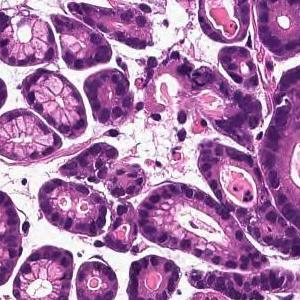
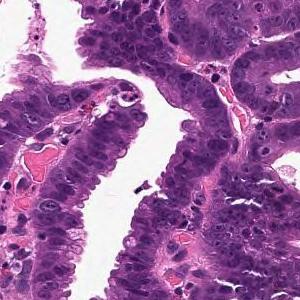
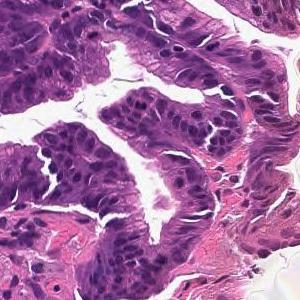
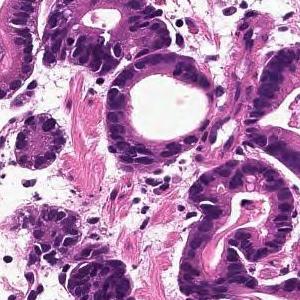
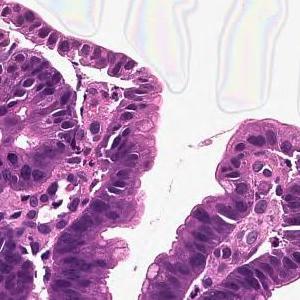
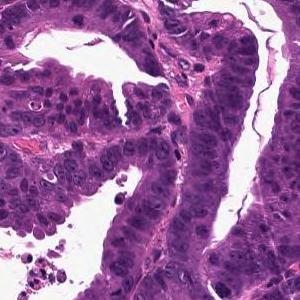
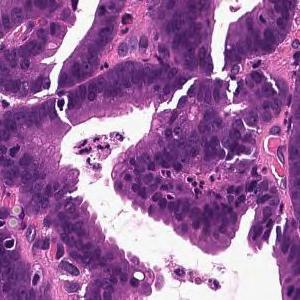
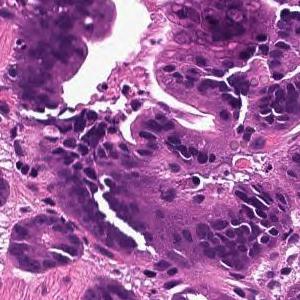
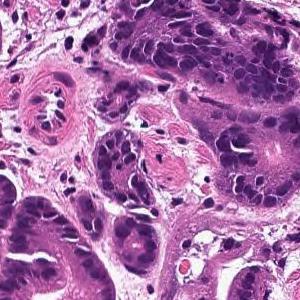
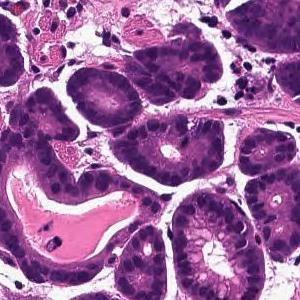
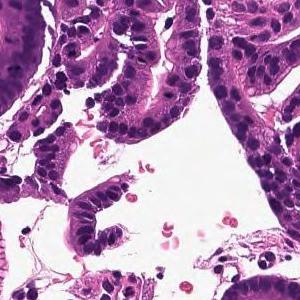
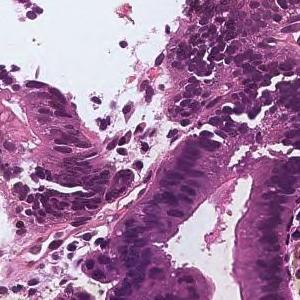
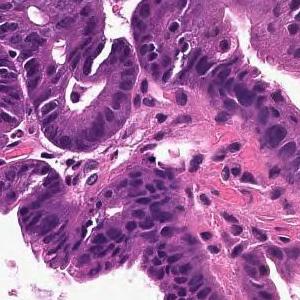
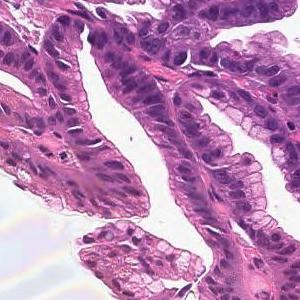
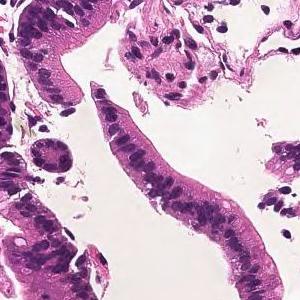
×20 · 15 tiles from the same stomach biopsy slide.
Diagnostic report for the slide these tiles come from. The findings and the diagnosis refer to the entire slide; these tiles show only part of it, possibly with non-tumor tissue, and may not show every feature named.
From the superficial epithelium to the muscularis mucosae, tumor tissue consisting of medium-sized and irregular glandular ducts infiltrating is observed. Well differentiated tubular adenocarcinoma
